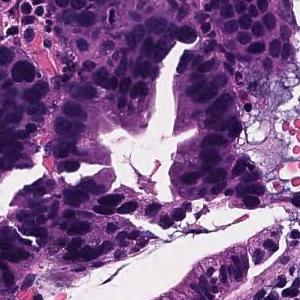
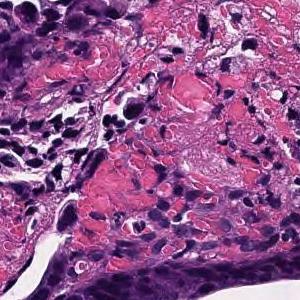
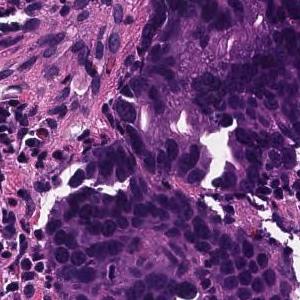
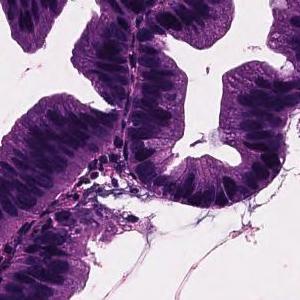
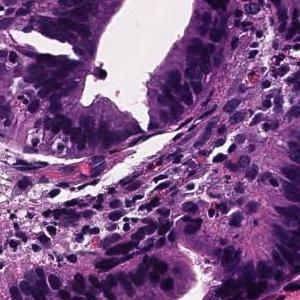
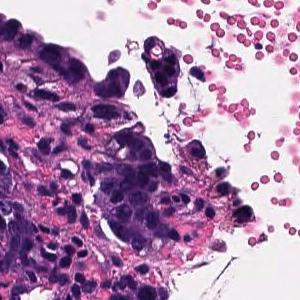
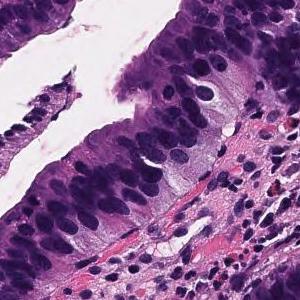
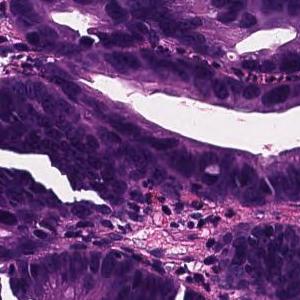
8 image tiles from a single gastric biopsy slide; 20× magnification; H&E stain.
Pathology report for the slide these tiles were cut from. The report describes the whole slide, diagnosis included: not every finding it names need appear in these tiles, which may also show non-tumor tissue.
Tumor cells are large, highly columnar, large club-shaped nuclei, and are associated with chromatin aggregation. Papillary adenocarcinoma.
